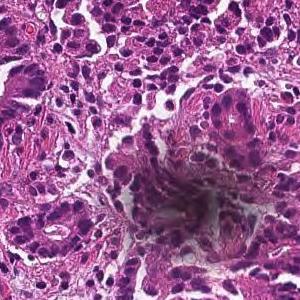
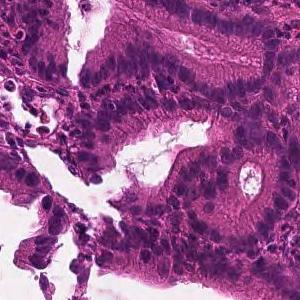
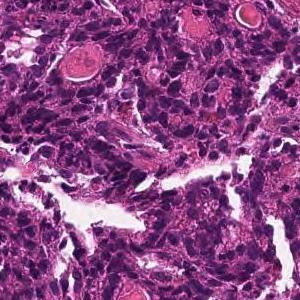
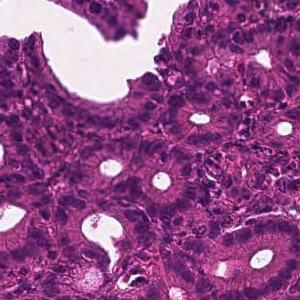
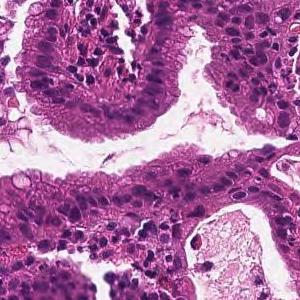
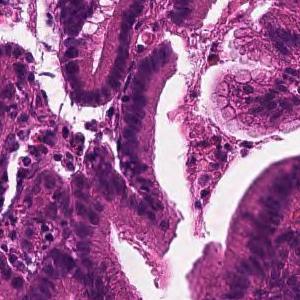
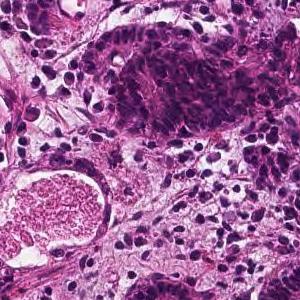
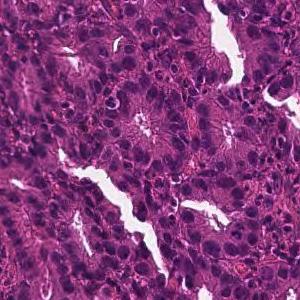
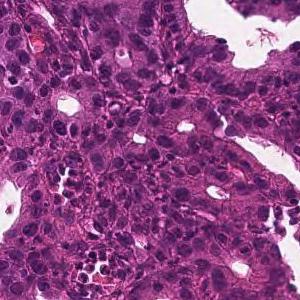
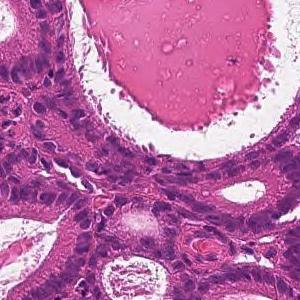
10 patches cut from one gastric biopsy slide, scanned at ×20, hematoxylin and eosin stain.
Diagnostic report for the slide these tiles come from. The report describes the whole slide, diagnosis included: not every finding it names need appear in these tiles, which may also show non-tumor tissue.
From the superficial epithelium to the muscularis mucosae, tumor tissue consisting of medium-sized and irregular glandular ducts infiltrating is observed. Well differentiated tubular adenocarcinoma
